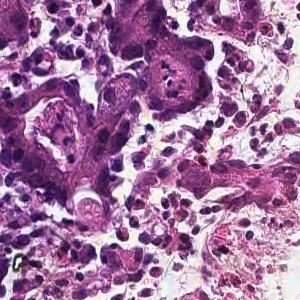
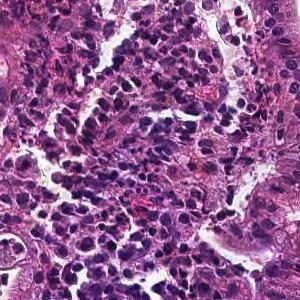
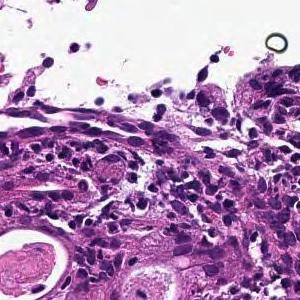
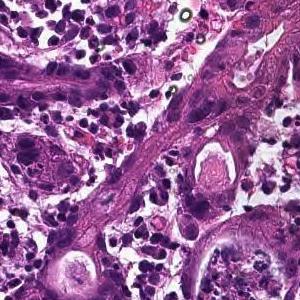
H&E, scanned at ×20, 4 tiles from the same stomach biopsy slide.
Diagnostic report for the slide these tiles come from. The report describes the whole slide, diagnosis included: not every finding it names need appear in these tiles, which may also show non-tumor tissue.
In the superficial epithelium, tumor tissue that invades by forming medium-sized to small, irregular ducts is observed. moderately differentiated tubular adenocarcinoma.
